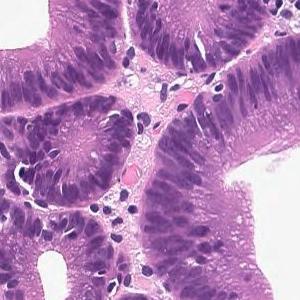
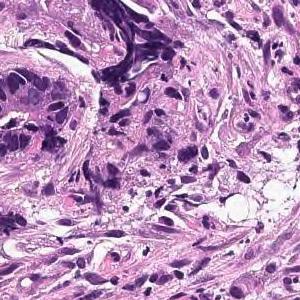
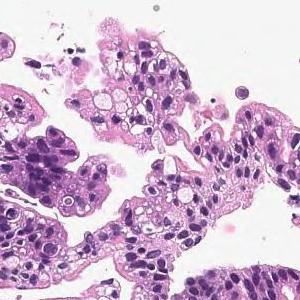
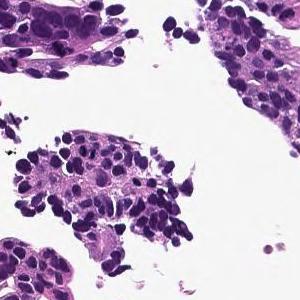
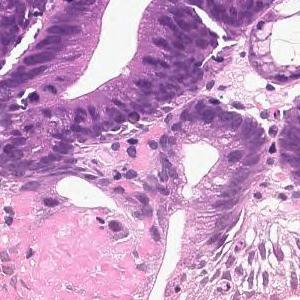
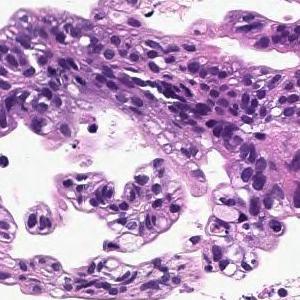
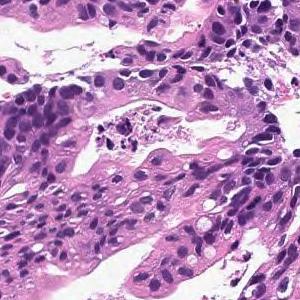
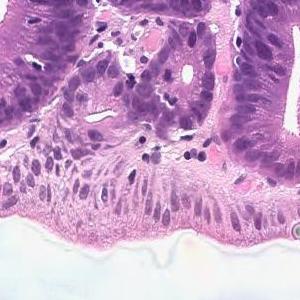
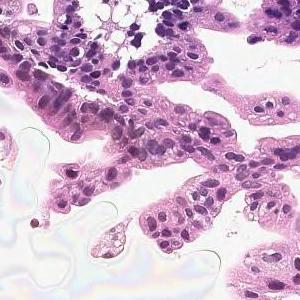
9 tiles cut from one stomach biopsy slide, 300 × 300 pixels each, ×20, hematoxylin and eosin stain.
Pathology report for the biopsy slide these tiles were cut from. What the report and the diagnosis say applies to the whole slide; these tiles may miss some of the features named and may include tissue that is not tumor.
In the superficial epithelium, tumor tissue that invades by forming medium-sized to small, irregular ducts is observed. moderately differentiated tubular adenocarcinoma.
